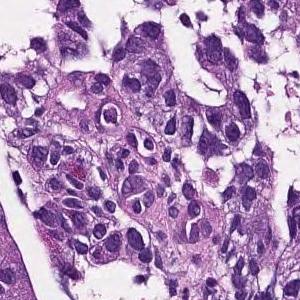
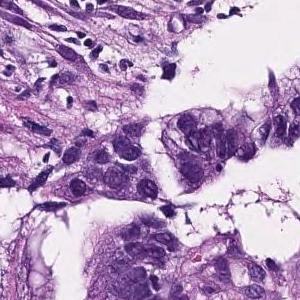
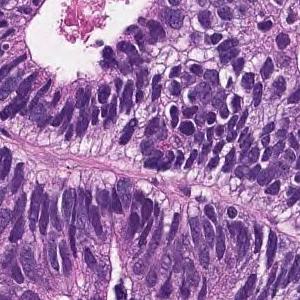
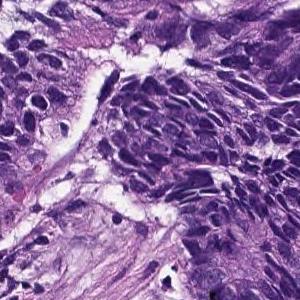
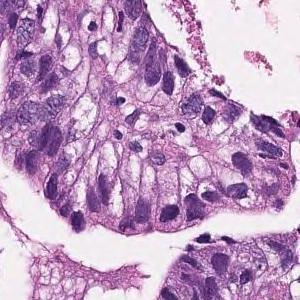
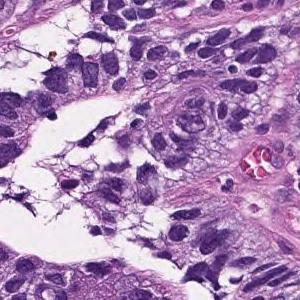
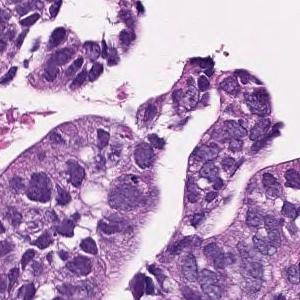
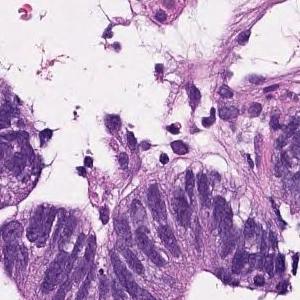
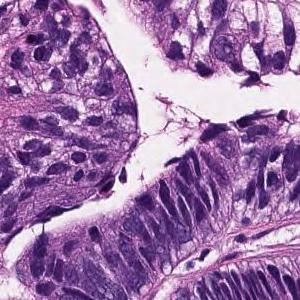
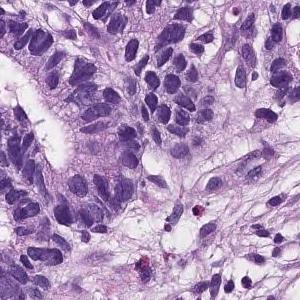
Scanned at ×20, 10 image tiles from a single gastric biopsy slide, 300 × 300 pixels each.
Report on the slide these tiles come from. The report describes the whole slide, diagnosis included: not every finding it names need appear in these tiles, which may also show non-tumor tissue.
In the superficial epithelium, tumor tissue that invades by forming medium-sized to small, irregular ducts is observed. moderately differentiated tubular adenocarcinoma.
